H&E; ×20; 11 tiles cut from one stomach biopsy slide; each 300 × 300 pixels.
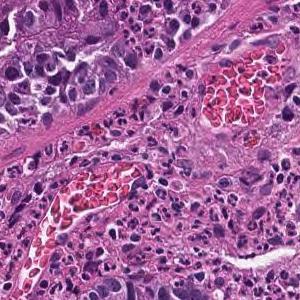
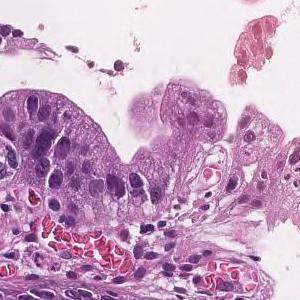
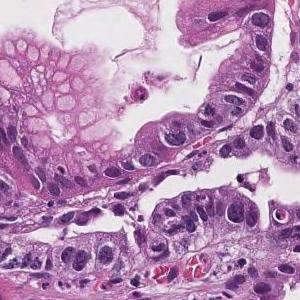
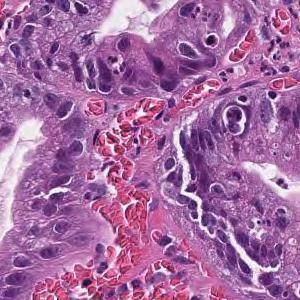
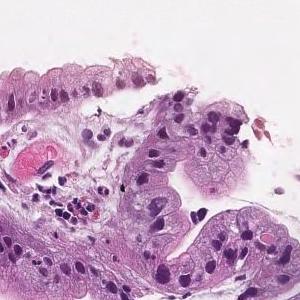
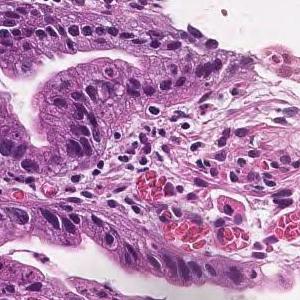
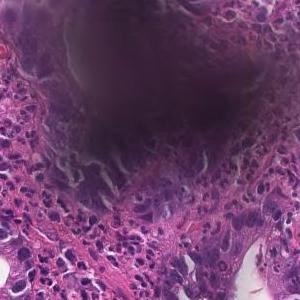
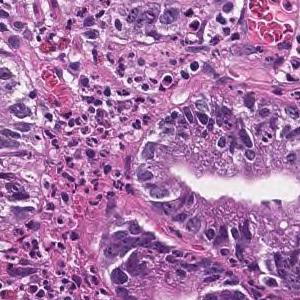
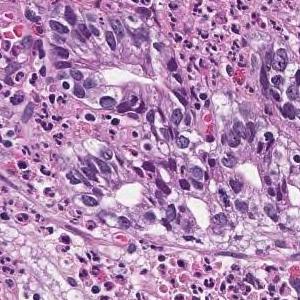
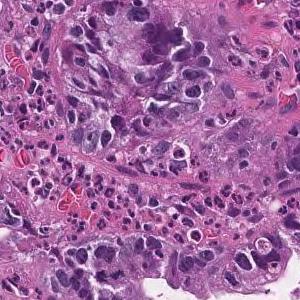
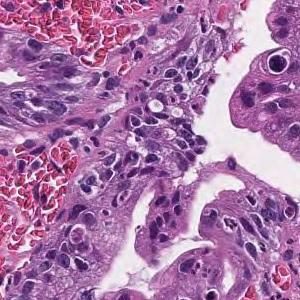
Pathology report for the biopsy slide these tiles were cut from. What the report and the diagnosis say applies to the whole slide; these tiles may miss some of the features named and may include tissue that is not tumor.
Tumor cells are large, highly columnar, large club-shaped nuclei, and are associated with chromatin aggregation. Papillary adenocarcinoma.
